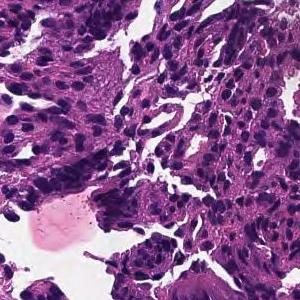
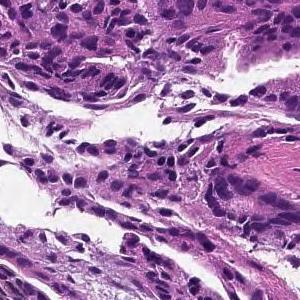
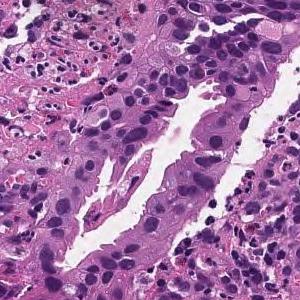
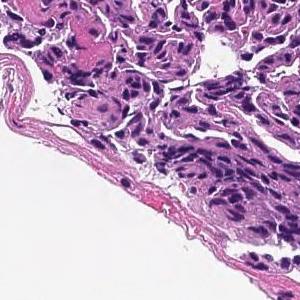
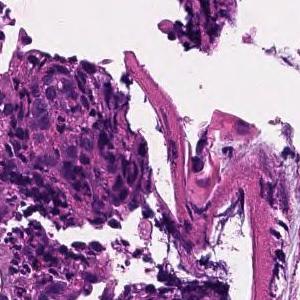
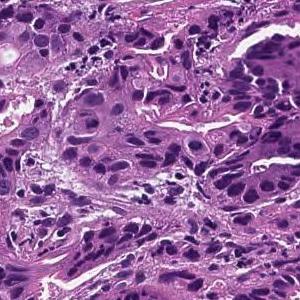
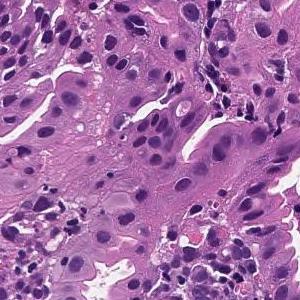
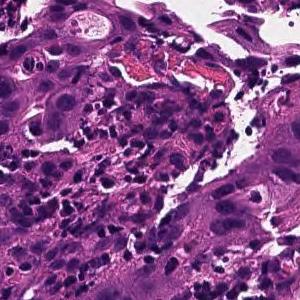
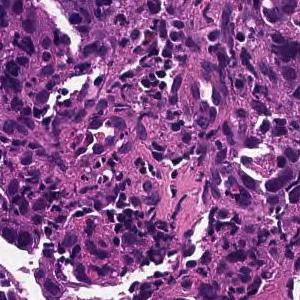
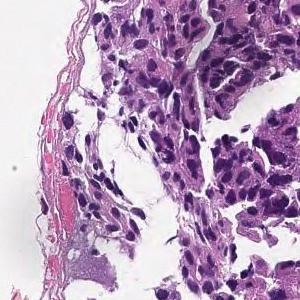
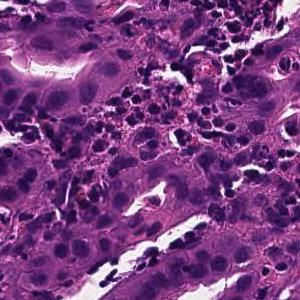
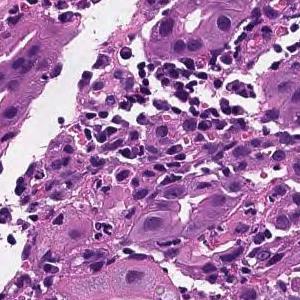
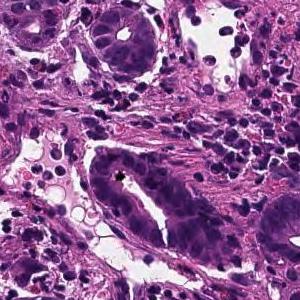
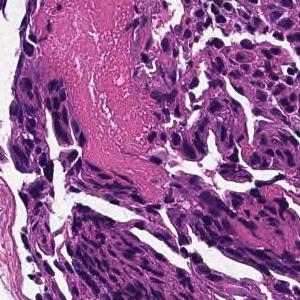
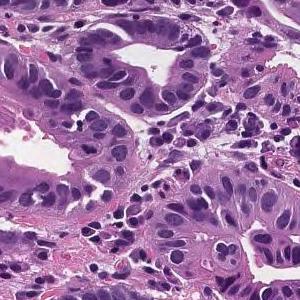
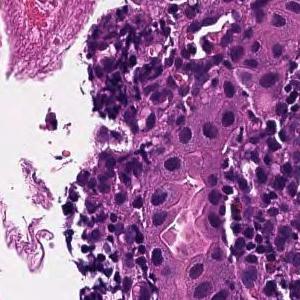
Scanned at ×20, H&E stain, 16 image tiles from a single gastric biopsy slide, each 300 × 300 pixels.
The pathologist's report on the biopsy slide these tiles were taken from. The findings and the diagnosis refer to the entire slide; these tiles show only part of it, possibly with non-tumor tissue, and may not show every feature named.
In the superficial epithelium, tumor tissue that invades by forming medium-sized to small, irregular ducts is observed. moderately differentiated tubular adenocarcinoma.
